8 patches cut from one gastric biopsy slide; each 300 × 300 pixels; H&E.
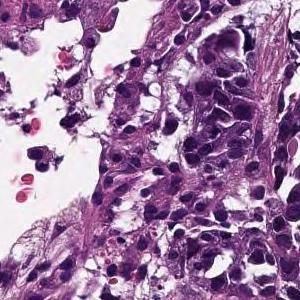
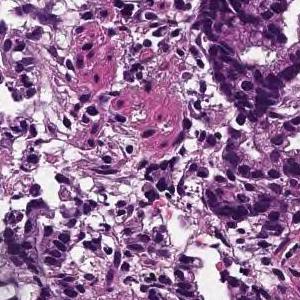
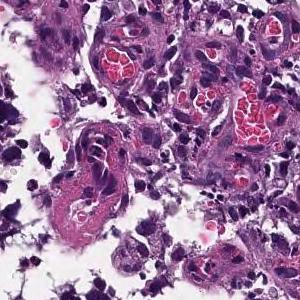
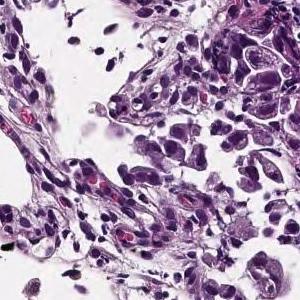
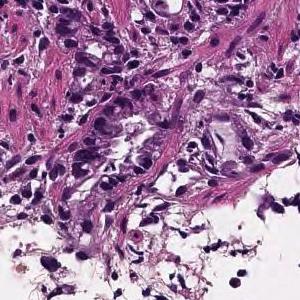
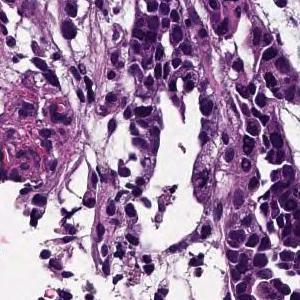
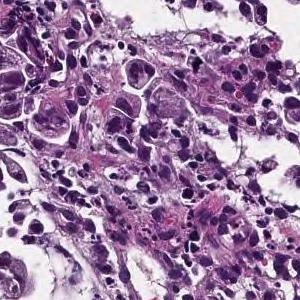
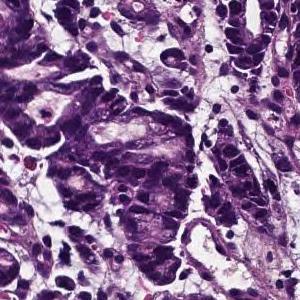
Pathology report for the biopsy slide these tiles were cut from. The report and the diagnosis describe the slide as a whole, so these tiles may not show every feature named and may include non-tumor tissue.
Medium to small, irregular glandular ducts are formed in the superficial epithelium, and in some cases, the glandular ducts are fused to show solid alveolar lesions and infiltrating tumor tissue is observed. Moderately to poorly differentiated adenocarcinoma.
